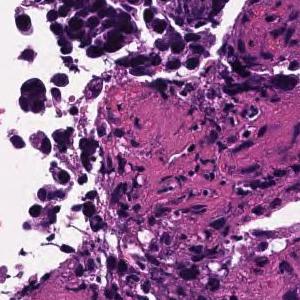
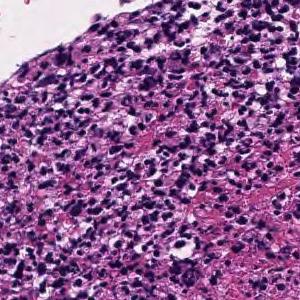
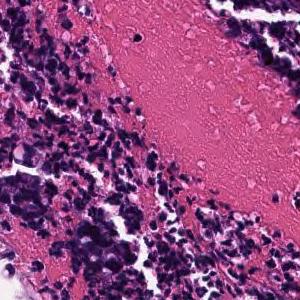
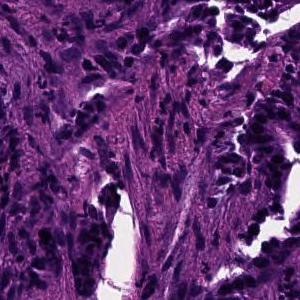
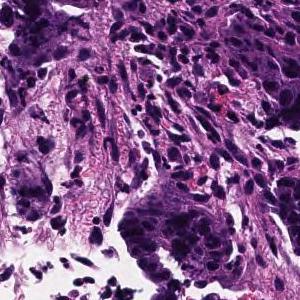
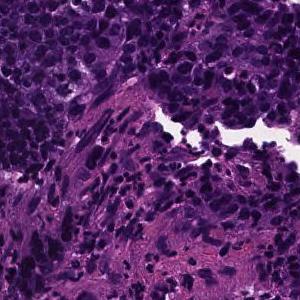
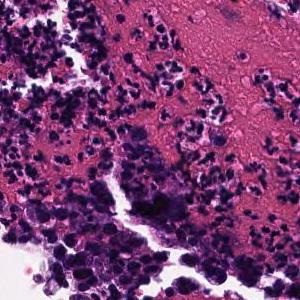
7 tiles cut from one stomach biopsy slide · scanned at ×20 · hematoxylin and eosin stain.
Report on the slide these tiles come from. The report and the diagnosis describe the slide as a whole, so these tiles may not show every feature named and may include non-tumor tissue.
In the superficial epithelium, tumor tissue that invades by forming medium-sized to small, irregular ducts is observed. moderately differentiated tubular adenocarcinoma.
